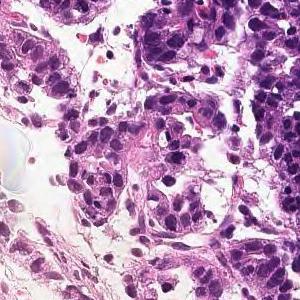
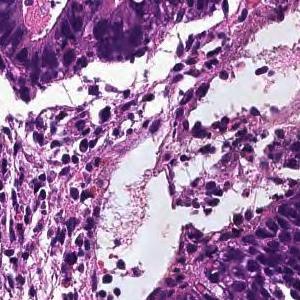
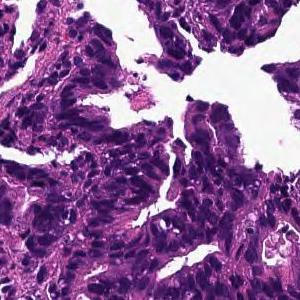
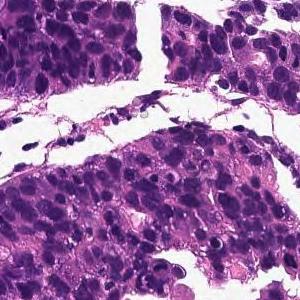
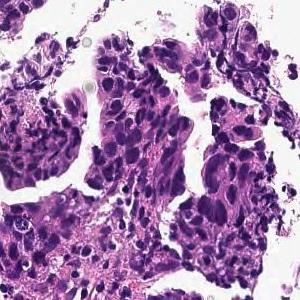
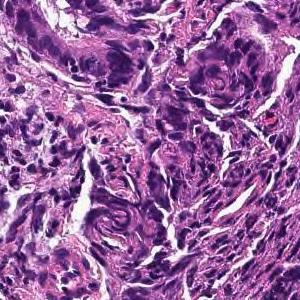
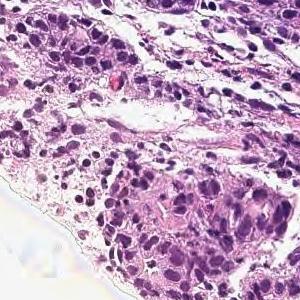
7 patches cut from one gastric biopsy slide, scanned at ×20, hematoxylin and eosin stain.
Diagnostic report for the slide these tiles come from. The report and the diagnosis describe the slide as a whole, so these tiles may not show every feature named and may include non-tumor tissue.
In the superficial epithelium, tumor tissue that invades by forming medium-sized to small, irregular ducts is observed. moderately differentiated tubular adenocarcinoma.
